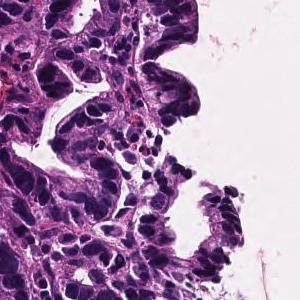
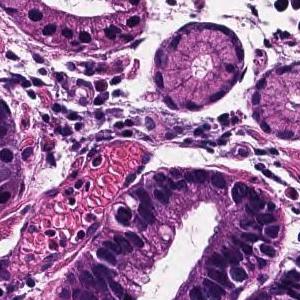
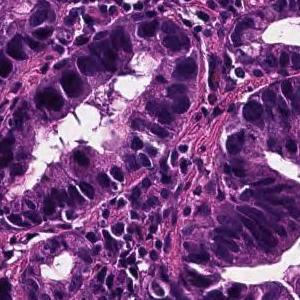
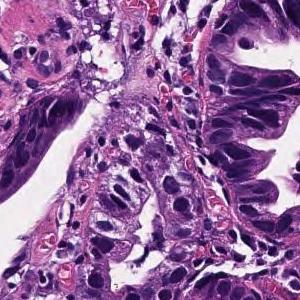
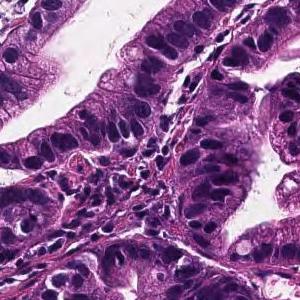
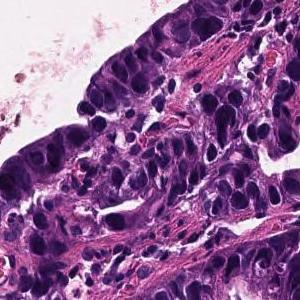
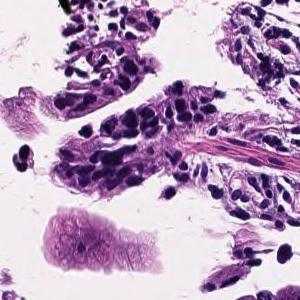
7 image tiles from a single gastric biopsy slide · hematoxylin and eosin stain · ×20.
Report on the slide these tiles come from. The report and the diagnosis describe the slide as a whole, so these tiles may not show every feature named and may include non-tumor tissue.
Tumor cells are large, highly columnar, large club-shaped nuclei, and are associated with chromatin aggregation. Papillary adenocarcinoma.
